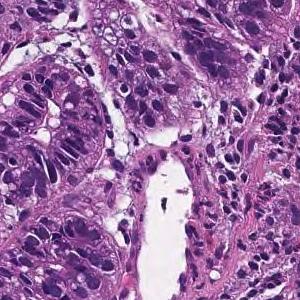
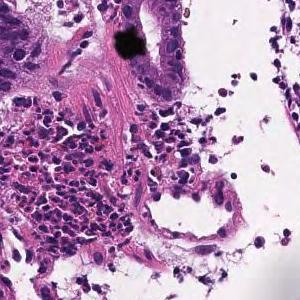
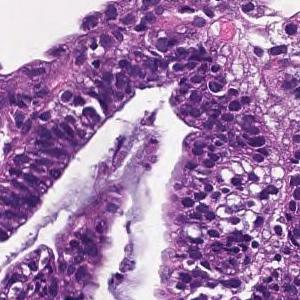
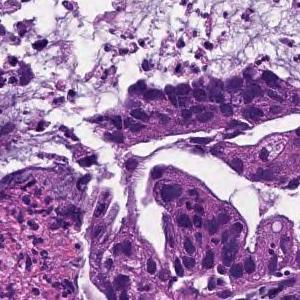
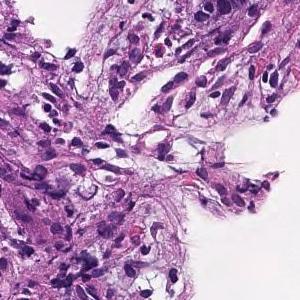
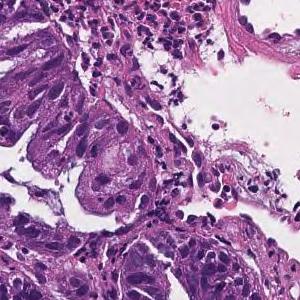
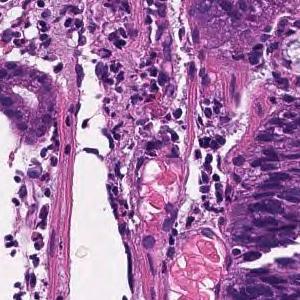
7 patches cut from one gastric biopsy slide; 300 × 300 pixels each; H&E stain.
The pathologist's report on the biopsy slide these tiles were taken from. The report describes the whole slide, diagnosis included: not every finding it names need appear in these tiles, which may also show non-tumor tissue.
From the superficial epithelium to the muscularis mucosae, tumor tissue consisting of medium-sized and irregular glandular ducts infiltrating is observed. Well differentiated tubular adenocarcinoma
